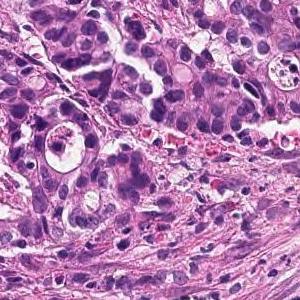
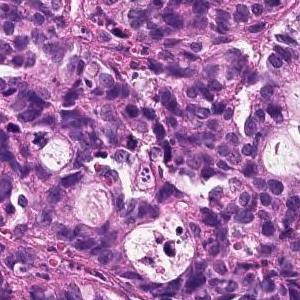
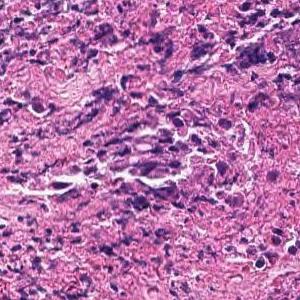
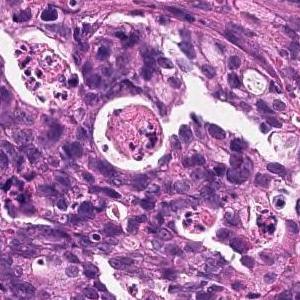
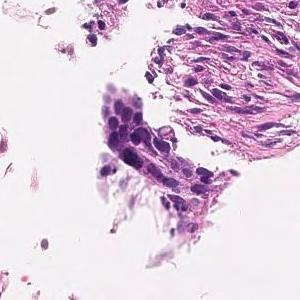
H&E; 20× magnification; 5 tiles from the same stomach biopsy slide; 300 × 300 pixels each.
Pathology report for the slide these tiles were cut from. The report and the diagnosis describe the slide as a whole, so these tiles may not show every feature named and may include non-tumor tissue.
On the superficial epithelium, tumor tissue consisting of images of small to medium-sized and irregular tubules infiltrating with irregular fusion is observed. moderately differentiated tubular adenocarcinoma
